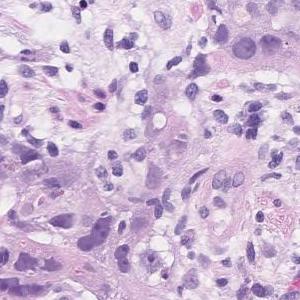
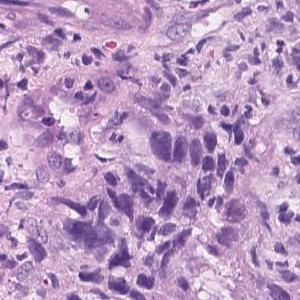
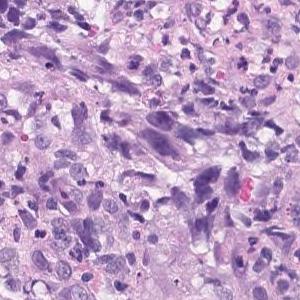
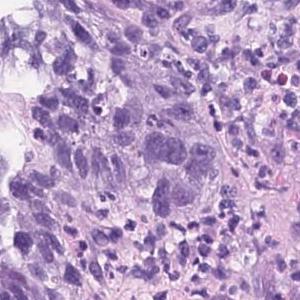
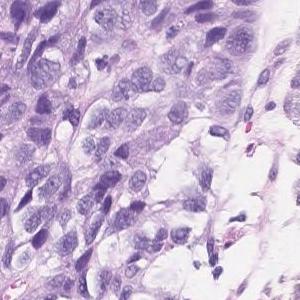
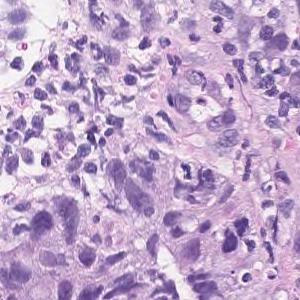
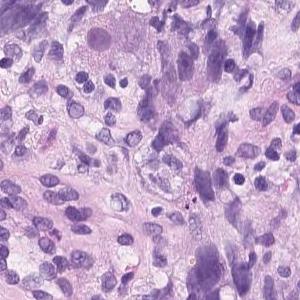
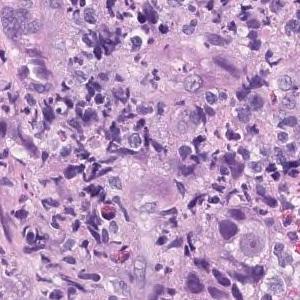
20× magnification; hematoxylin and eosin stain; 8 patches cut from one gastric biopsy slide.
Pathology report for the biopsy slide these tiles were cut from. The report and the diagnosis describe the slide as a whole, so these tiles may not show every feature named and may include non-tumor tissue.
Atypical epithelial cells infiltrating and proliferating diffusely or while forming vesicles is observed. Poorly differentiated adenocarcinoma (poorly differentiated adenocarcinoma, solid type moderately differentiated tubular adenocarcinoma)
The dataset labels this slide poorly differentiated adenocarcinoma, solid type, a category of the Japanese Classification of Gastric Carcinoma; in the WHO 2019 classification it is tubular adenocarcinoma, poorly differentiated.
